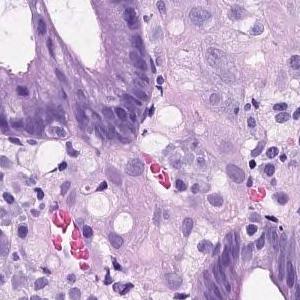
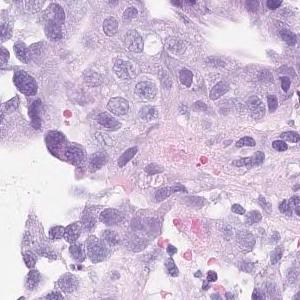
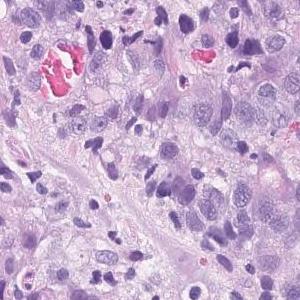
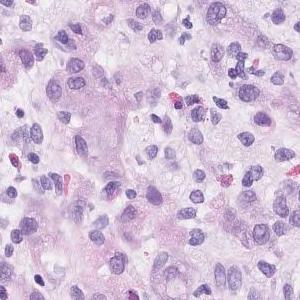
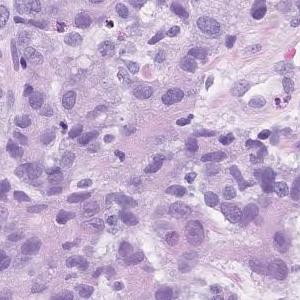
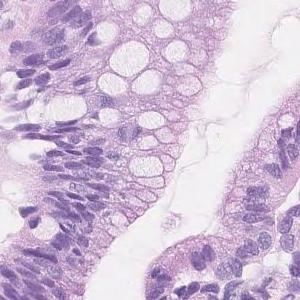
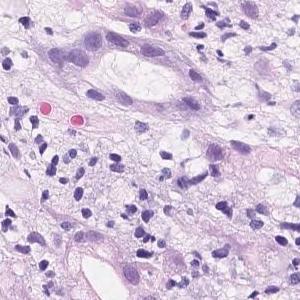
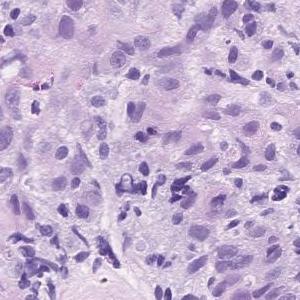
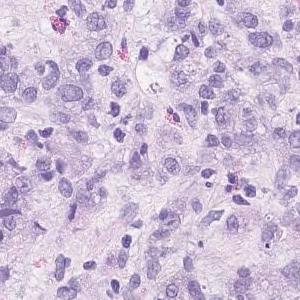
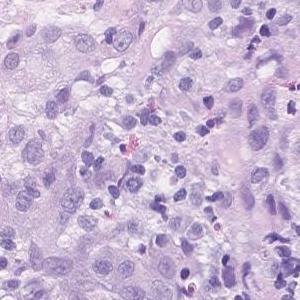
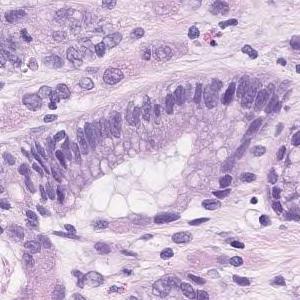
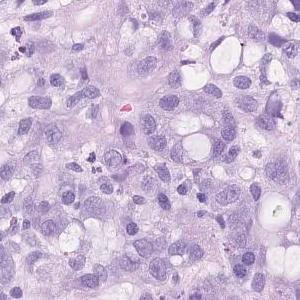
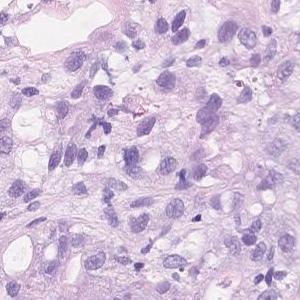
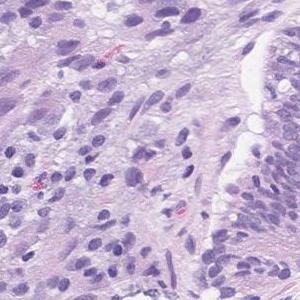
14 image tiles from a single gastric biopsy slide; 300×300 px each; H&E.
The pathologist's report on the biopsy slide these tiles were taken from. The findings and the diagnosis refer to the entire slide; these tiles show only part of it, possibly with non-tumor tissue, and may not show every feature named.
Group 5, Adenocarcinoma. Poorly differentiated adenocarcinoma, non-solid type
The term "non-solid type" comes from the Japanese Classification of Gastric Carcinoma.
